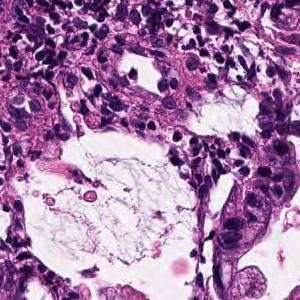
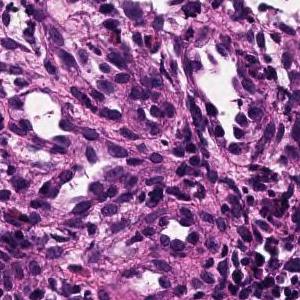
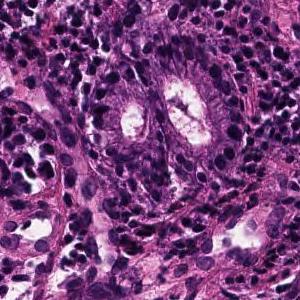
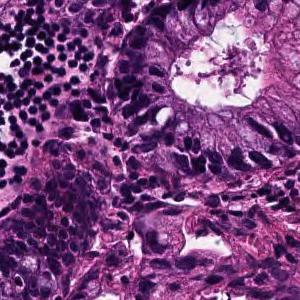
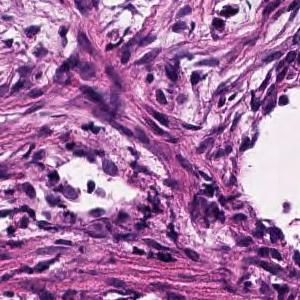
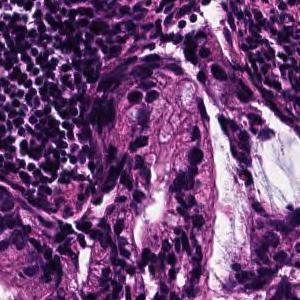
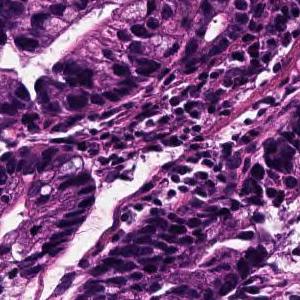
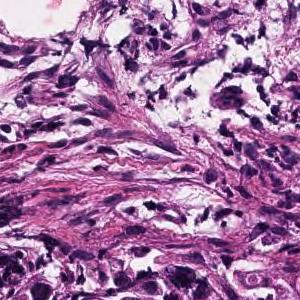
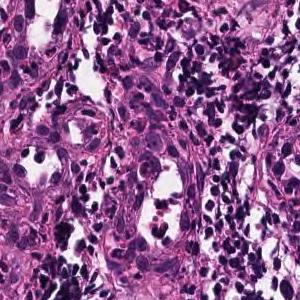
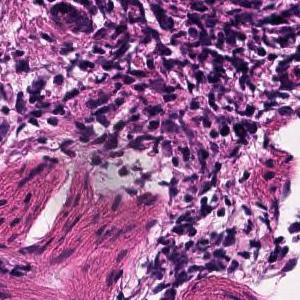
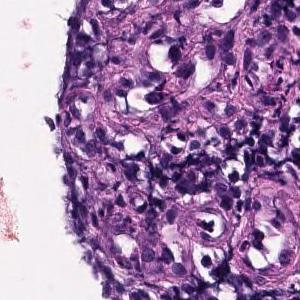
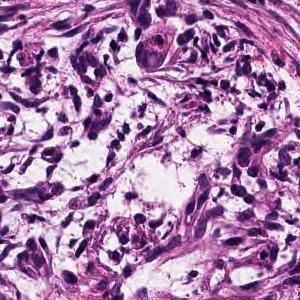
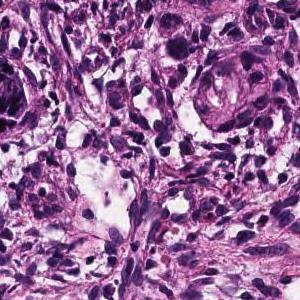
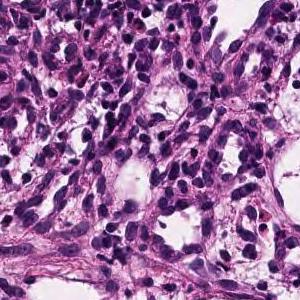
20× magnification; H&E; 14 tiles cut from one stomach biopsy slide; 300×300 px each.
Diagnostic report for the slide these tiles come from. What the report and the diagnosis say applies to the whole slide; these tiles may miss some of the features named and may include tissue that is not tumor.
On the superficial epithelium, tumor tissue consisting of large, irregular glandular ducts partially fused and infiltrated is observed. Well to moderately differentiated tubular adenocarcinoma (well differentiated tubular adenocarcinoma, moderately differentiated tubular adenocarcinoma)
Histological subtype: Well to moderately differentiated tubular adenocarcinoma.
